H&E, 12 tiles from the same stomach biopsy slide.
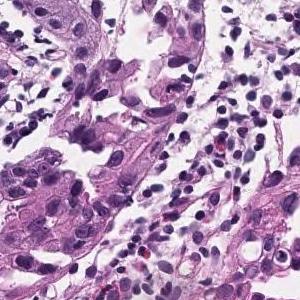
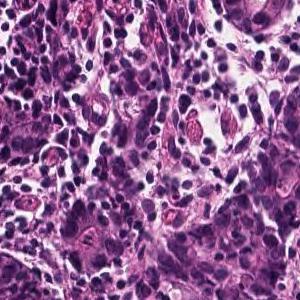
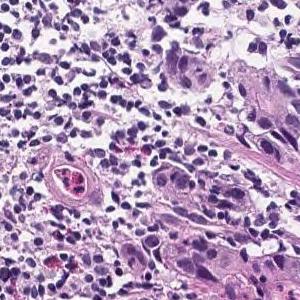
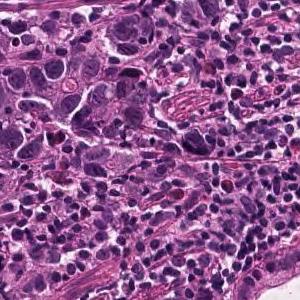
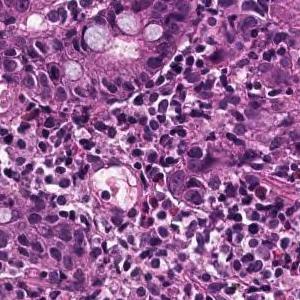
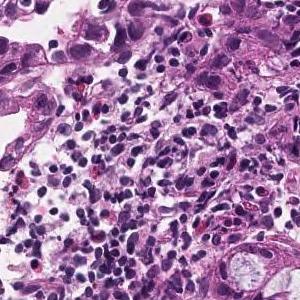
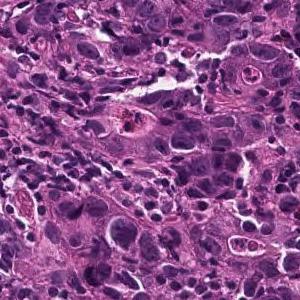
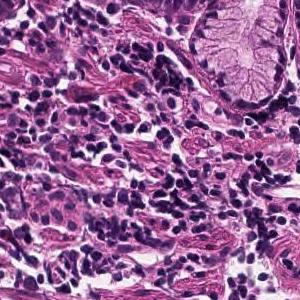
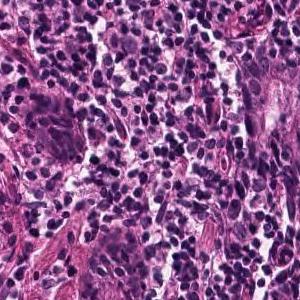
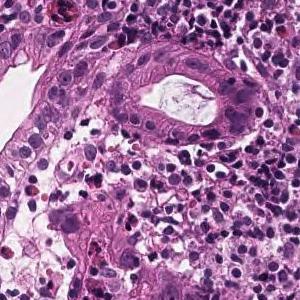
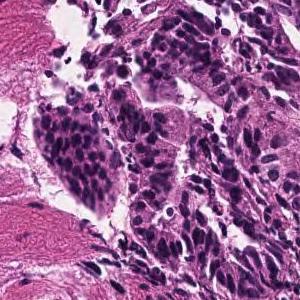
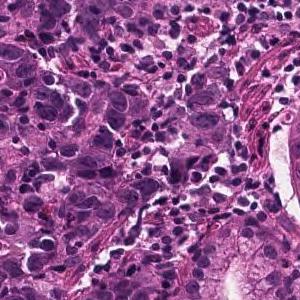
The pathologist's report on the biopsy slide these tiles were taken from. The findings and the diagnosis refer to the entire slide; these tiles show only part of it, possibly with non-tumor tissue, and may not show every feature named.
Tumor tissue consisting of medium-sized, cord-like or irregular glandular infiltration is observed in the superficial epithelium. Poorly differentiated adenocarcinoma, non-solid type or moderately differentiated tubular adenocarcinoma
Histologic type: Moderately to poorly differentiated adenocarcinoma.
The non-solid type named here is a Japanese Classification of Gastric Carcinoma category.
